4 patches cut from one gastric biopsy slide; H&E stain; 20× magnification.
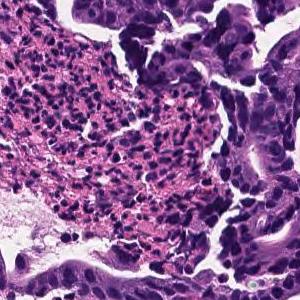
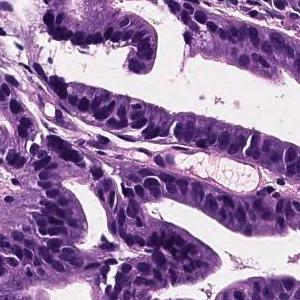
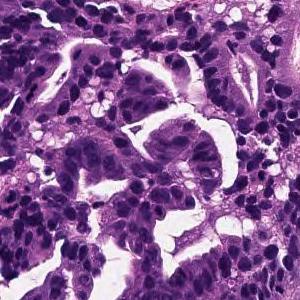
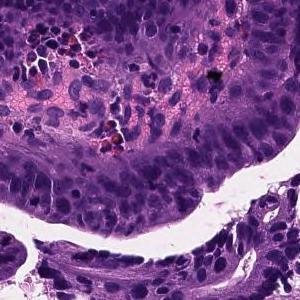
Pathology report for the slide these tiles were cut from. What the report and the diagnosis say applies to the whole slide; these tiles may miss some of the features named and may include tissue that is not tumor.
Tumor cells are large, highly columnar, large club-shaped nuclei, and are associated with chromatin aggregation. Papillary adenocarcinoma.
